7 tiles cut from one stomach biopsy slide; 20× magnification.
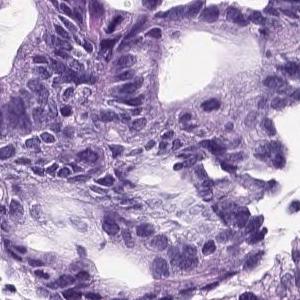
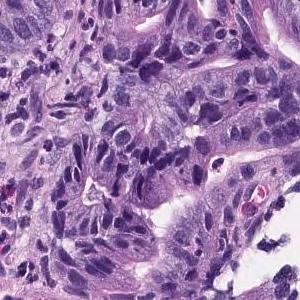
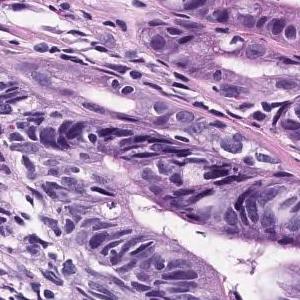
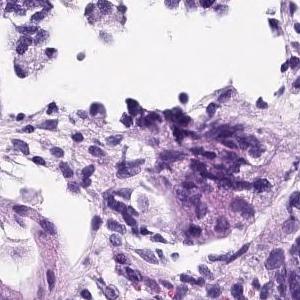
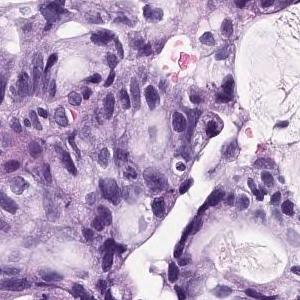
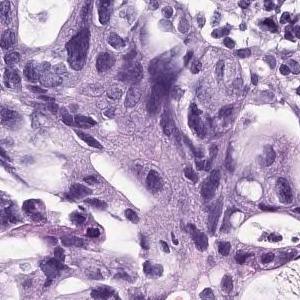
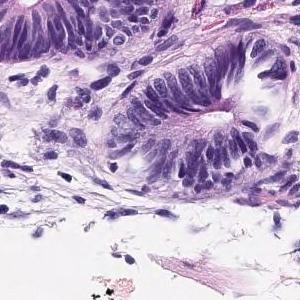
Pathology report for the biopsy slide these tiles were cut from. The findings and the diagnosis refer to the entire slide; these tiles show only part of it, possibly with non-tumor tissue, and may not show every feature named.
On the superficial epithelium, tumor tissue consisting of medium-sized to large-sized, round or irregular glandular duct growth images is observed. Well differentiated adenocarcinoma.
Subtype: Well differentiated tubular adenocarcinoma.
